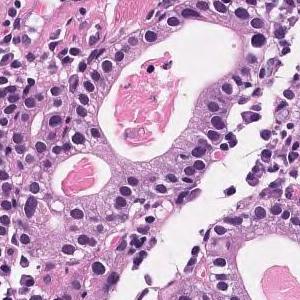
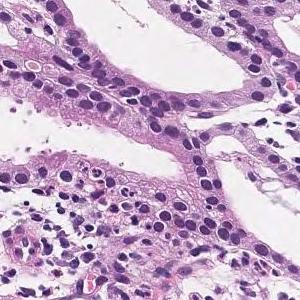
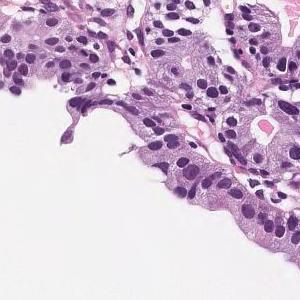
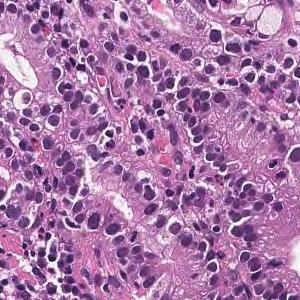
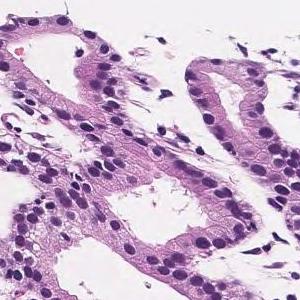
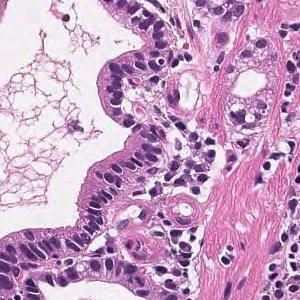
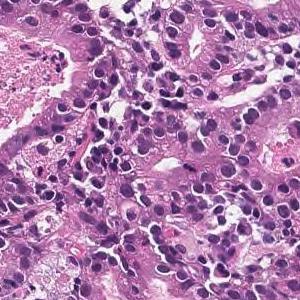
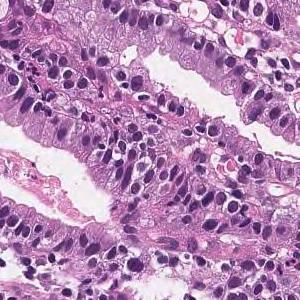
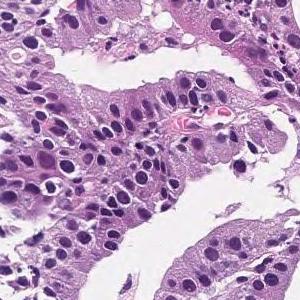
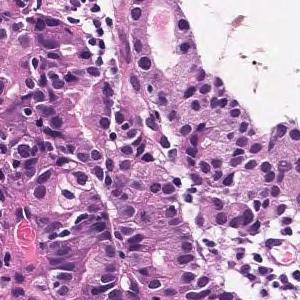
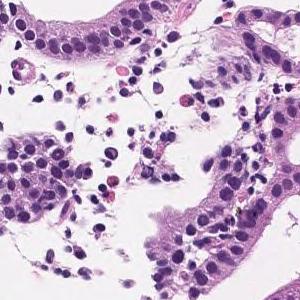
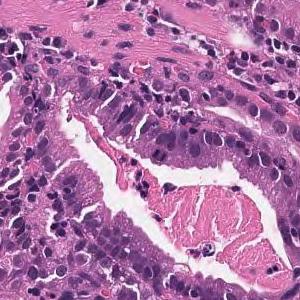
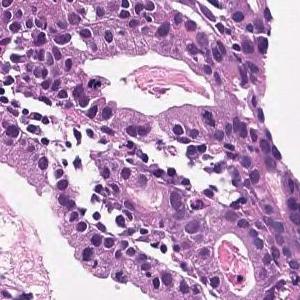
13 image tiles from a single gastric biopsy slide; 20× magnification.
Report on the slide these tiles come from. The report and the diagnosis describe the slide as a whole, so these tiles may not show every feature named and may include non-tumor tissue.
Medium to small, irregular glandular ducts are formed in the superficial epithelium, and in some cases, the glandular ducts are fused to show solid alveolar lesions and infiltrating tumor tissue is observed. Moderately to poorly differentiated adenocarcinoma.
